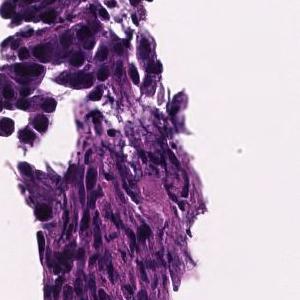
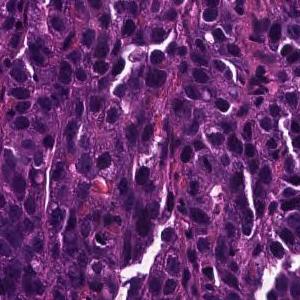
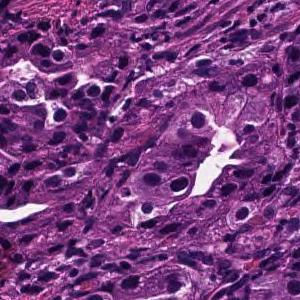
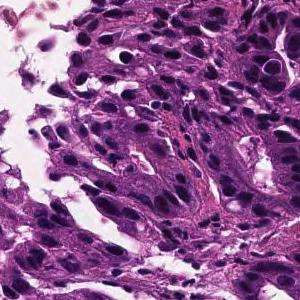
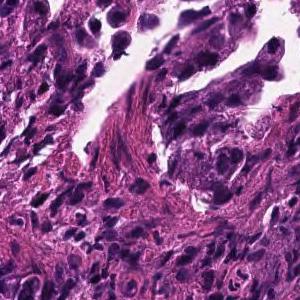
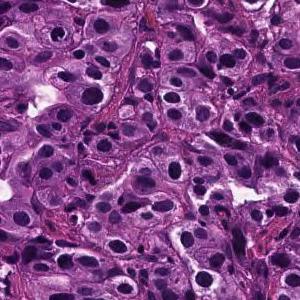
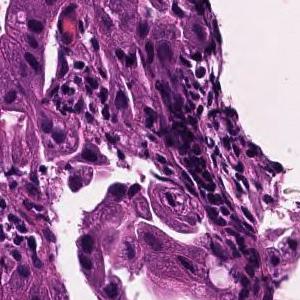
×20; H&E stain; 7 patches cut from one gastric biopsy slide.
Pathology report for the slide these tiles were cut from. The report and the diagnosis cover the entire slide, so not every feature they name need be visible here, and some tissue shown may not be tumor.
Tumor tissue consisting of medium-sized, cord-like or irregular glandular fusion and infiltration is observed in the superficial epithelium. Poorly differentiated adenocarcinoma, non-solid type or moderately differentiated tubular adenocarcinoma
Tumor subtype: moderately to poorly differentiated adenocarcinoma.
The term "non-solid type" comes from the Japanese Classification of Gastric Carcinoma.
